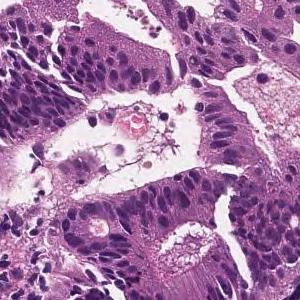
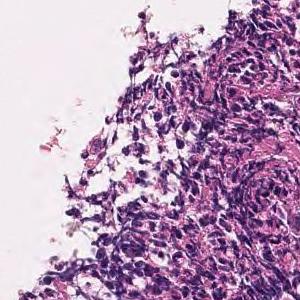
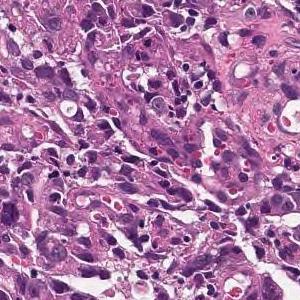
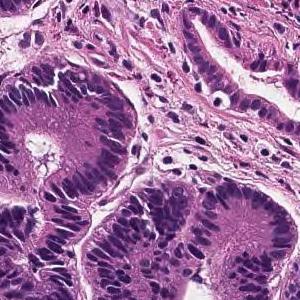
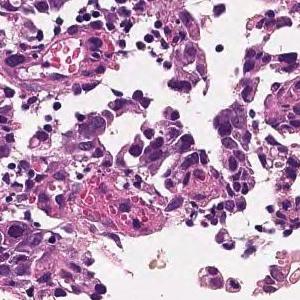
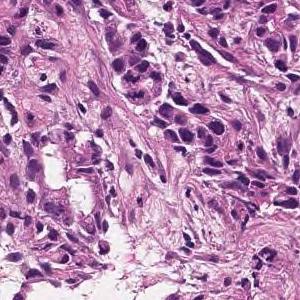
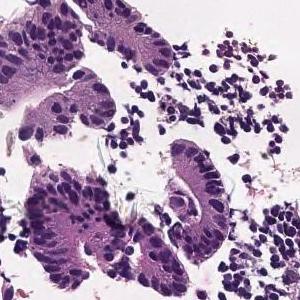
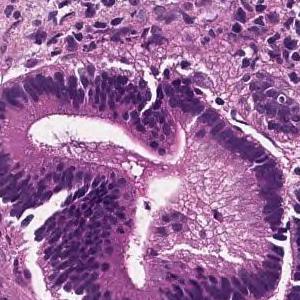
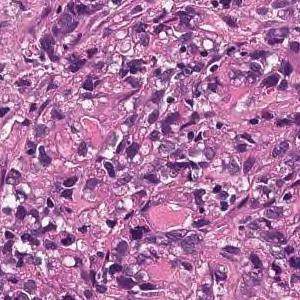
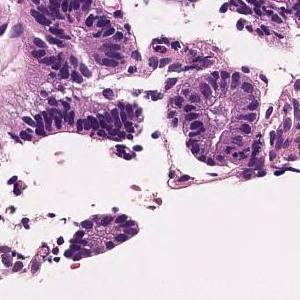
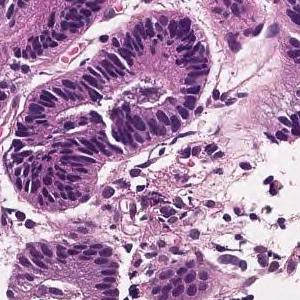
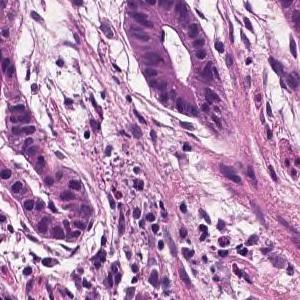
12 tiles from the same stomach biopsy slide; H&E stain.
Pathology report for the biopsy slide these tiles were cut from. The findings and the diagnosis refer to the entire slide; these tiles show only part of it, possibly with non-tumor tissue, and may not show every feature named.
Tumor tissue consisting of cord-like or small, irregular glandular ducts fused and infiltrated is observed in the superficial epithelium. Poorly differentiated adenocarcinoma, non-solid type
The term "non-solid type" comes from the Japanese Classification of Gastric Carcinoma.
